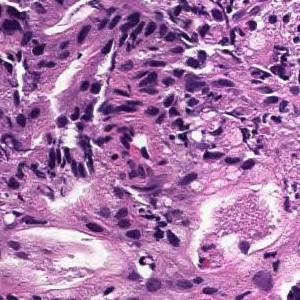
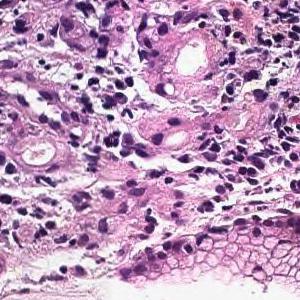
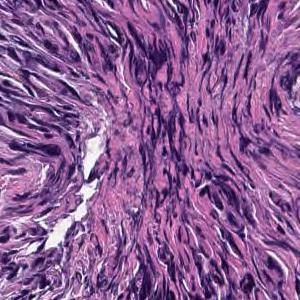
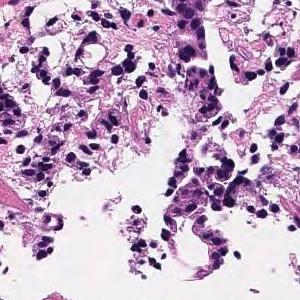
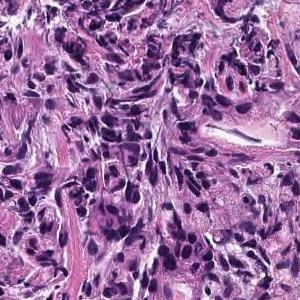
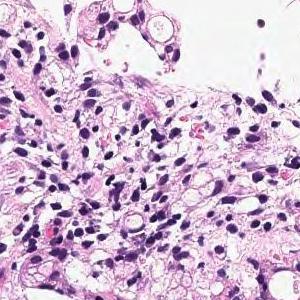
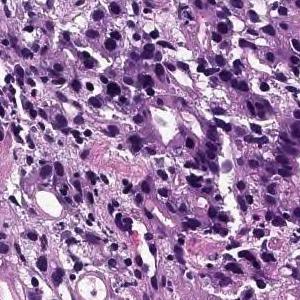
20× magnification, hematoxylin and eosin stain, 7 patches cut from one gastric biopsy slide, each 300 × 300 pixels.
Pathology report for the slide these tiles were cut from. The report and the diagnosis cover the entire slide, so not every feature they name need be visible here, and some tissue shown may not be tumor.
Tumor tissue consisting of cord-like or small, irregular glandular ducts fused and infiltrated is observed in the superficial epithelium. Poorly differentiated adenocarcinoma, non-solid type
"Non-solid type" is a category of the Japanese Classification of Gastric Carcinoma.
